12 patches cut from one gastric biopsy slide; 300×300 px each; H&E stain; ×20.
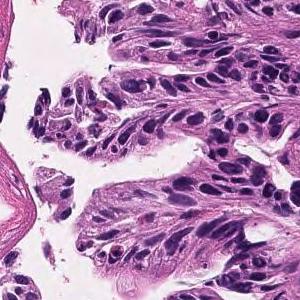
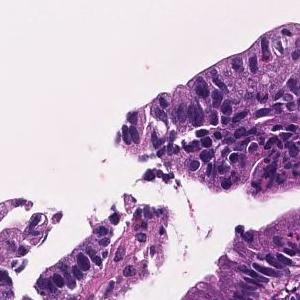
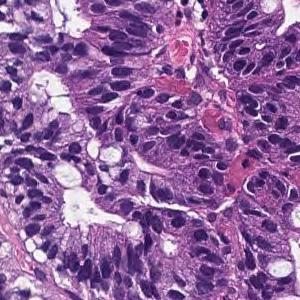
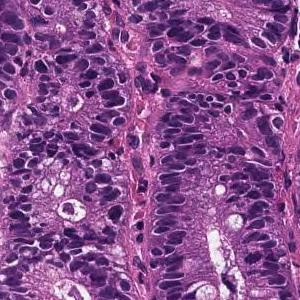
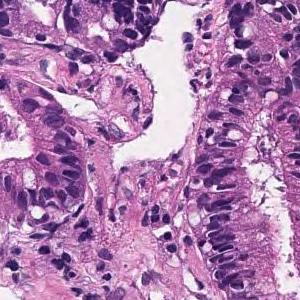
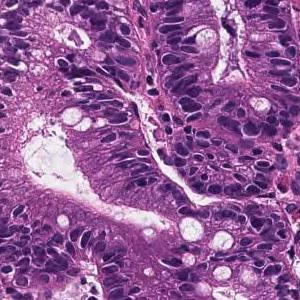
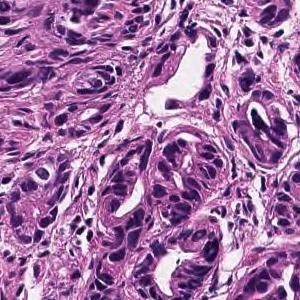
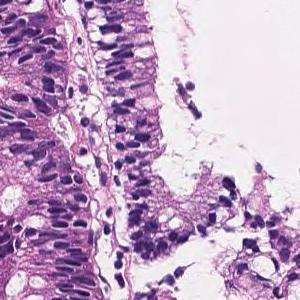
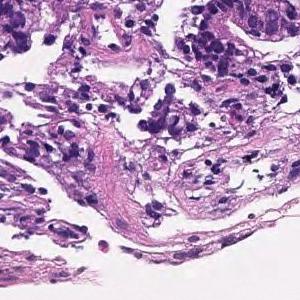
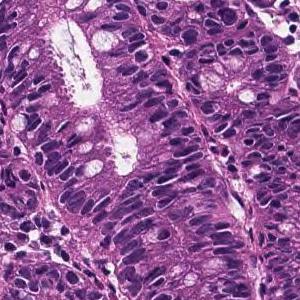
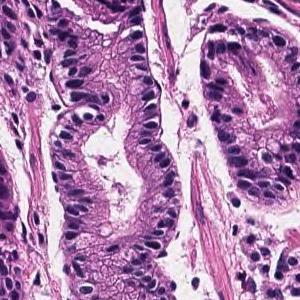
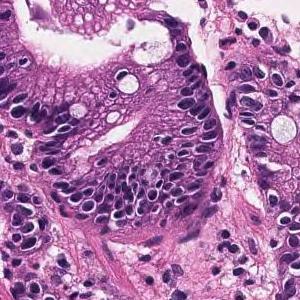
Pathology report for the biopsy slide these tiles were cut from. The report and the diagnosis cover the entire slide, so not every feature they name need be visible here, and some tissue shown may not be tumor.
Most remain in the superficial epithelium, forming medium-sized papillary or small irregular ducts and proliferating, and some tumor tissue invades the muscularis mucosae. Papillary adenocarcinoma
